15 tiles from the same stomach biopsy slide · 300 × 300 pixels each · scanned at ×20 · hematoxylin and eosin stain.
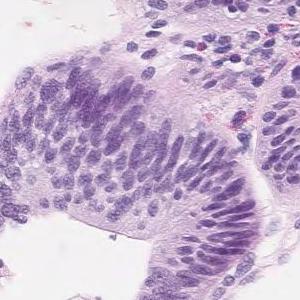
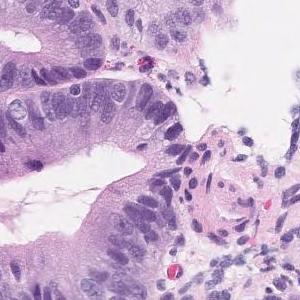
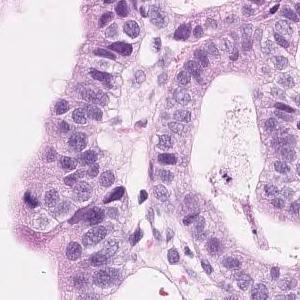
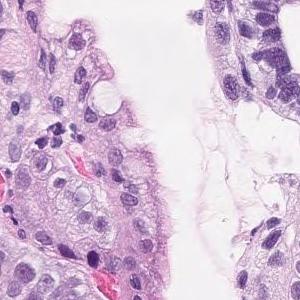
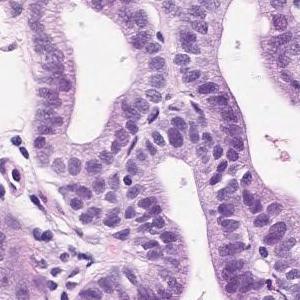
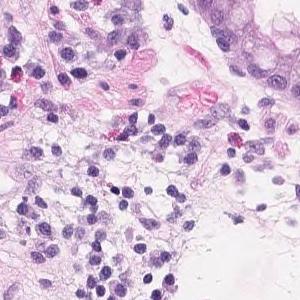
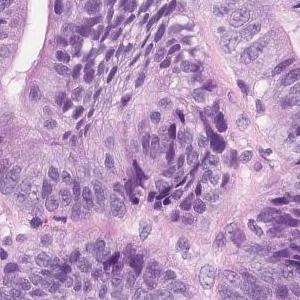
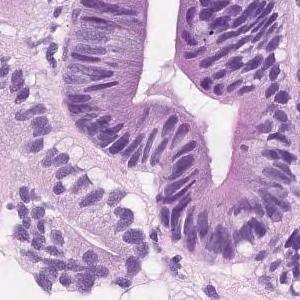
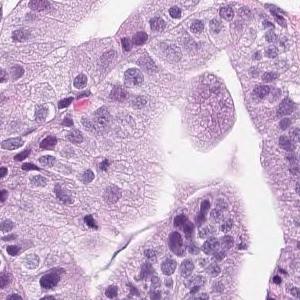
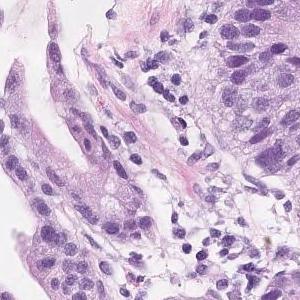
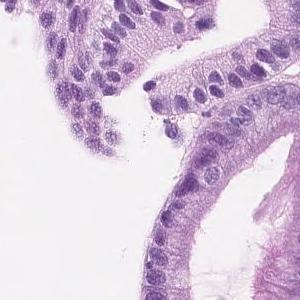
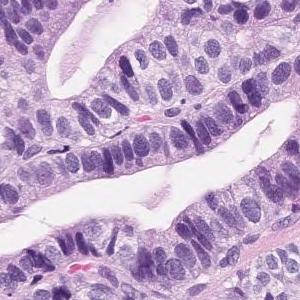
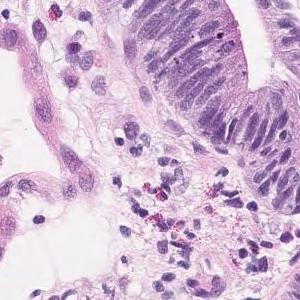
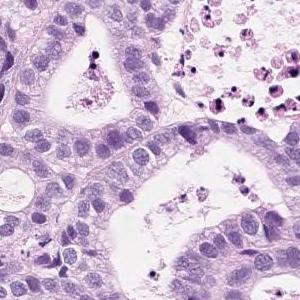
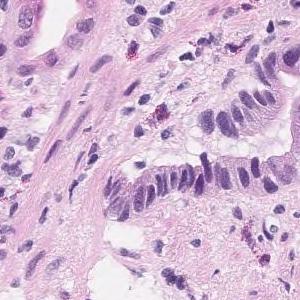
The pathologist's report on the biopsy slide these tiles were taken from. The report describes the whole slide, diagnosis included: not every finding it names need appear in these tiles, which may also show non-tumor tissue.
Short atypical epithelium with swelling of the nucleus shows proliferating, large and small irregular ductal structures. Well to moderately differentiated tubular adenocarcinoma (well differentiated tubular adenocarcinoma-moderately differentiated tubular adenocarcinoma)
Histological subtype: Well to moderately differentiated tubular adenocarcinoma.
